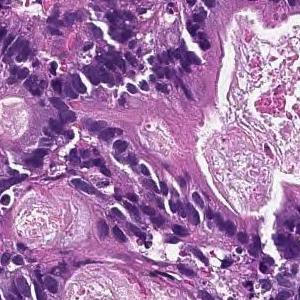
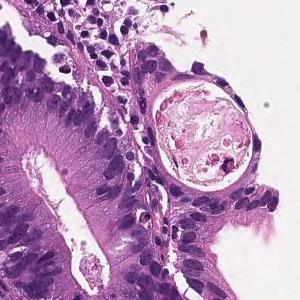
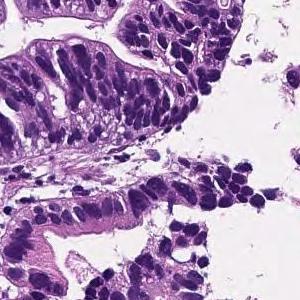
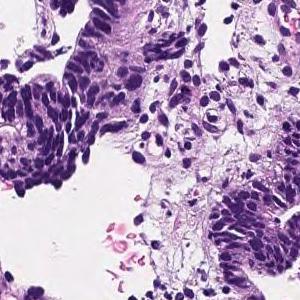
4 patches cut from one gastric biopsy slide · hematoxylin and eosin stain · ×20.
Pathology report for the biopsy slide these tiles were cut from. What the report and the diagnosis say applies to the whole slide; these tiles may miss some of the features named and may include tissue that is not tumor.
In the superficial epithelium, tumor tissue that invades by forming medium-sized to small, irregular ducts is observed. moderately differentiated tubular adenocarcinoma.
